9 tiles from the same stomach biopsy slide; 300×300 px each; scanned at ×20; hematoxylin and eosin stain.
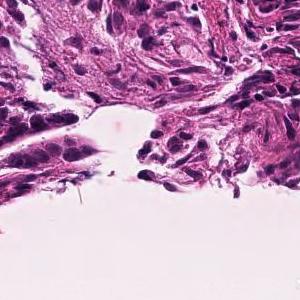
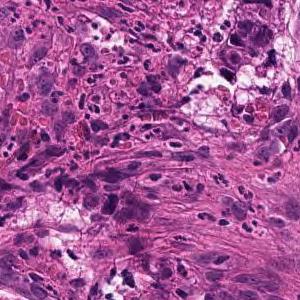
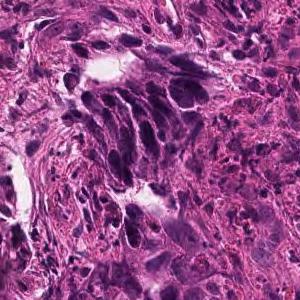
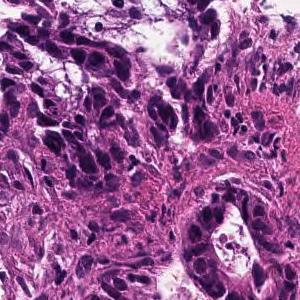
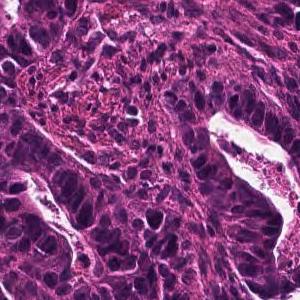
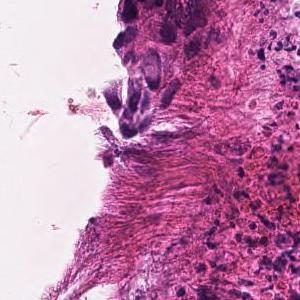
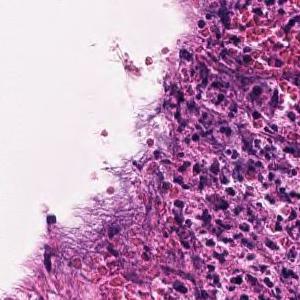
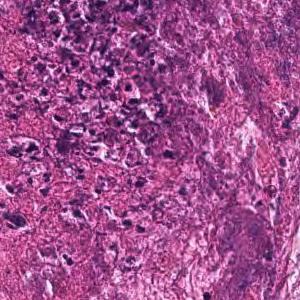
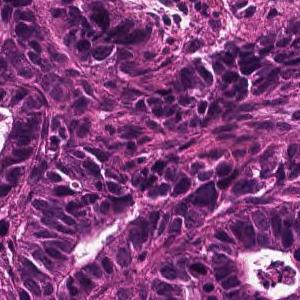
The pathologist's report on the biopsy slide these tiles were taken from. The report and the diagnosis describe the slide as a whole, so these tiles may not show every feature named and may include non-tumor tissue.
In the superficial epithelium, tumor tissue that invades by forming medium-sized to small, irregular ducts is observed. moderately differentiated tubular adenocarcinoma.
